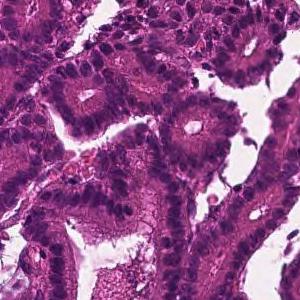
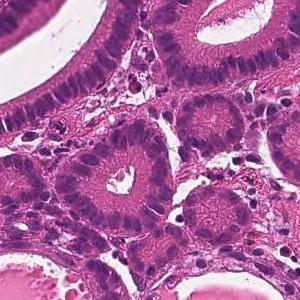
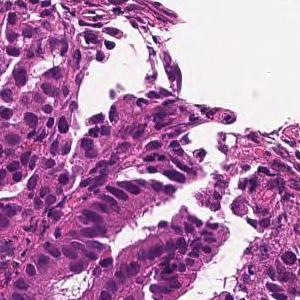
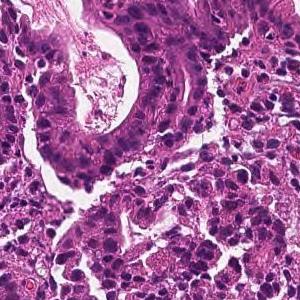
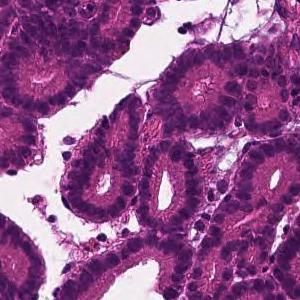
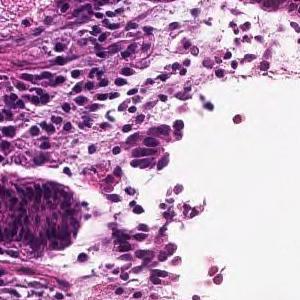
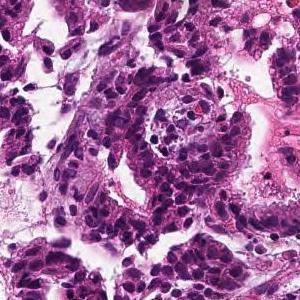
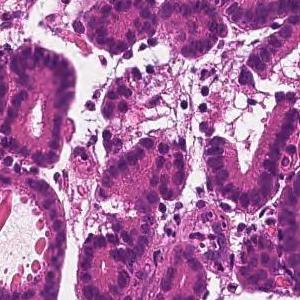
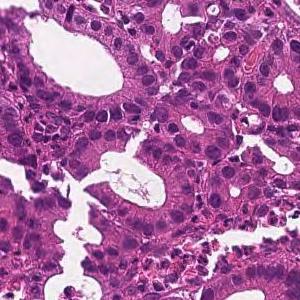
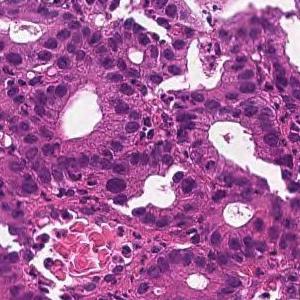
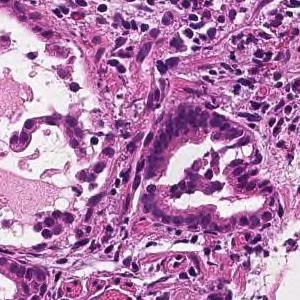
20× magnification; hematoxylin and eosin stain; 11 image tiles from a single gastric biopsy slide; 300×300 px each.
Pathology report for the biopsy slide these tiles were cut from. The report describes the whole slide, diagnosis included: not every finding it names need appear in these tiles, which may also show non-tumor tissue.
From the superficial epithelium to the muscularis mucosae, tumor tissue consisting of medium-sized and irregular glandular ducts infiltrating is observed. Well differentiated tubular adenocarcinoma
